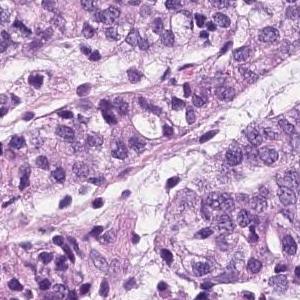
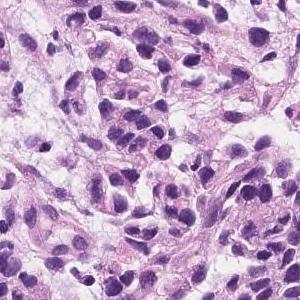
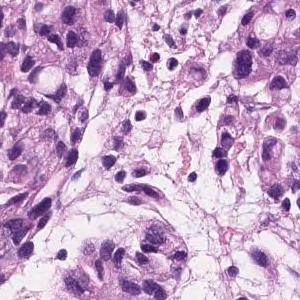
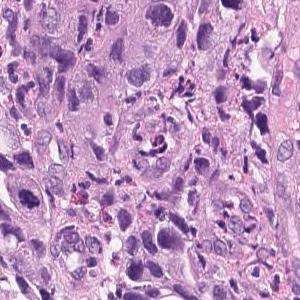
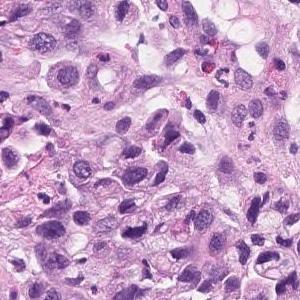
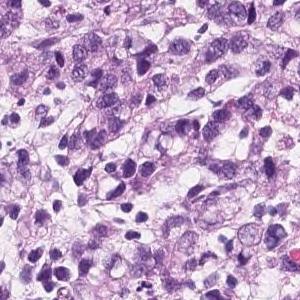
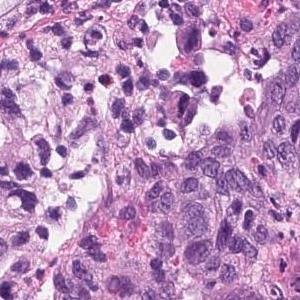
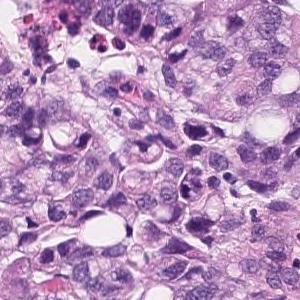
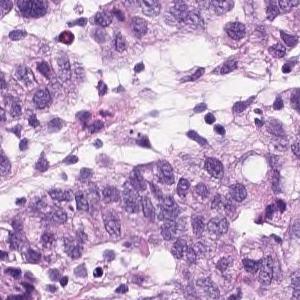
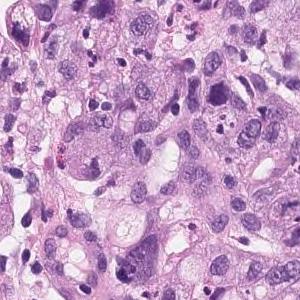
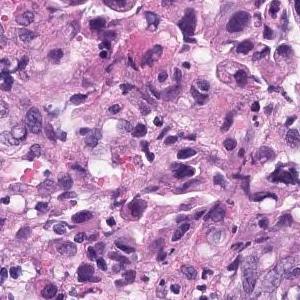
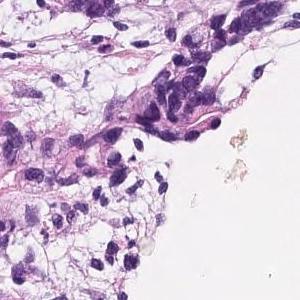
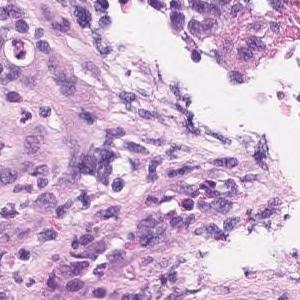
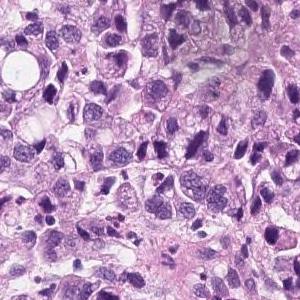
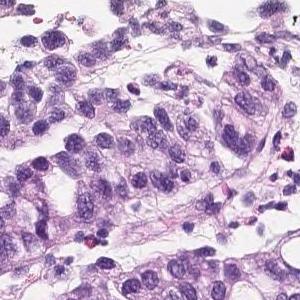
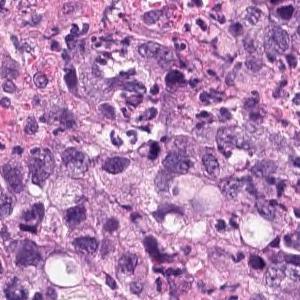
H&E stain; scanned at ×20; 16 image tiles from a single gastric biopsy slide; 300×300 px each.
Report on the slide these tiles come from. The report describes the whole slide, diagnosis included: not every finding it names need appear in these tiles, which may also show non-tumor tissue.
Group 5, Adenocarcinoma. Poorly differentiated adenocarcinoma, non-solid type
"Non-solid type" is a category of the Japanese Classification of Gastric Carcinoma.
